H&E, 14 patches cut from one gastric biopsy slide.
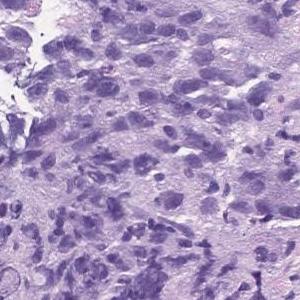
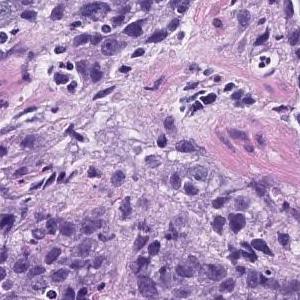
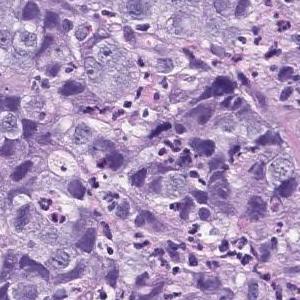
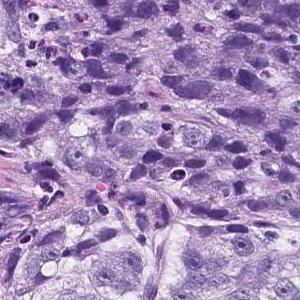
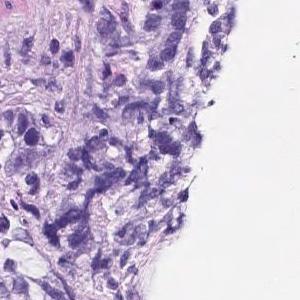
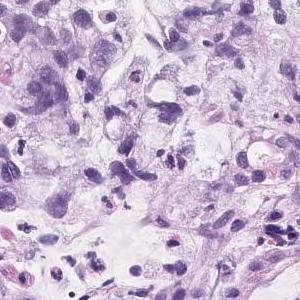
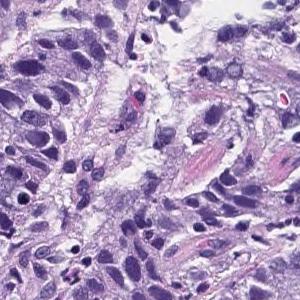
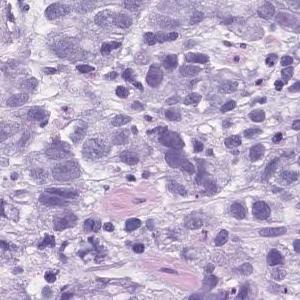
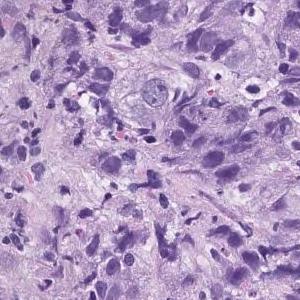
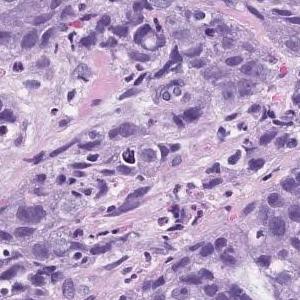
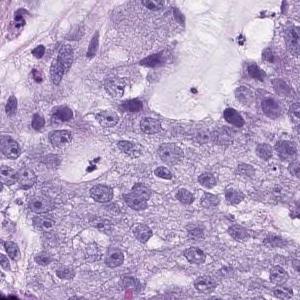
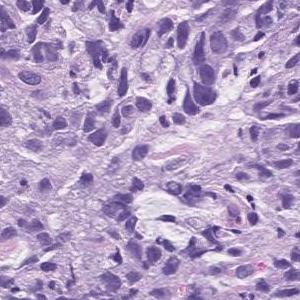
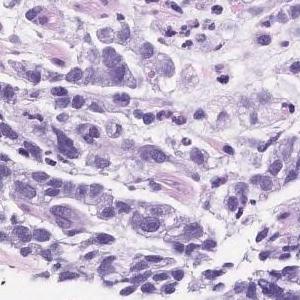
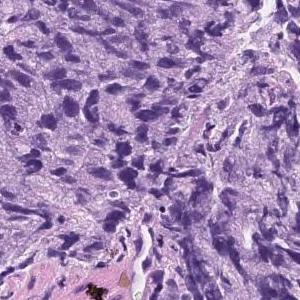
Report on the slide these tiles come from. The report describes the whole slide, diagnosis included: not every finding it names need appear in these tiles, which may also show non-tumor tissue.
Atypical l cells with atypical nuclei forming solid vesicles or small irregular atypical ducts that proliferate in a complex manner. poorly differentiated adenocarcinoma, solid type, moderately differentiated tubular adenocarcinoma
The solid type named here is a Japanese Classification of Gastric Carcinoma category; WHO 2019 calls it tubular adenocarcinoma, poorly differentiated.
